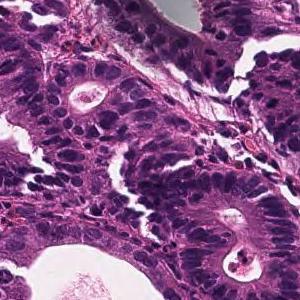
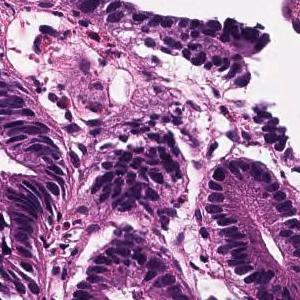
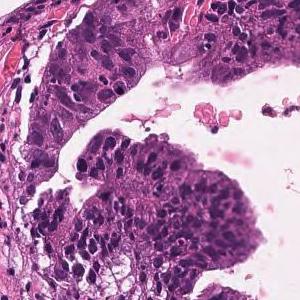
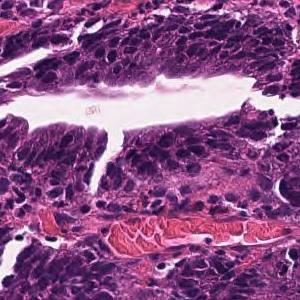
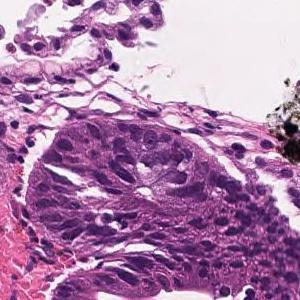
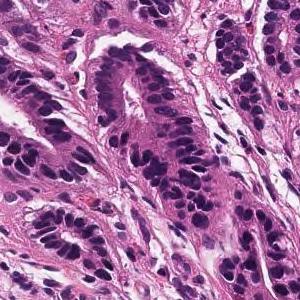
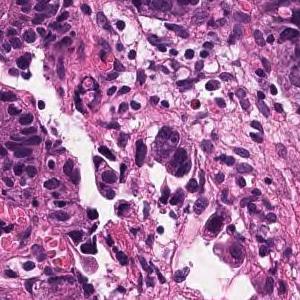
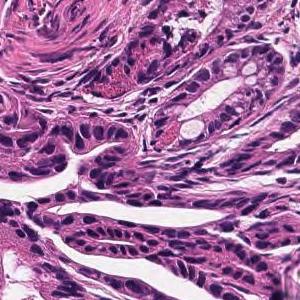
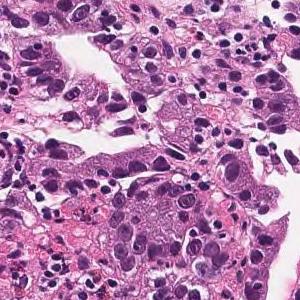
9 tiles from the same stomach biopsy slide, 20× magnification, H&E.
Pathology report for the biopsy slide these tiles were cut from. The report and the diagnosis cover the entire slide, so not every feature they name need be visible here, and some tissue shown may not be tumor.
Atypical epithelium with nuclear swelling is seen to form and proliferate large and small ducts, often with necrosis in the lumen. Well differentiated tubular adenocarcinoma
